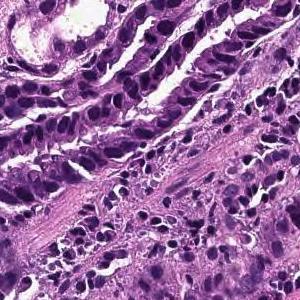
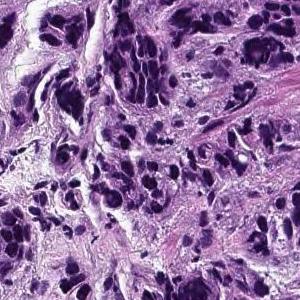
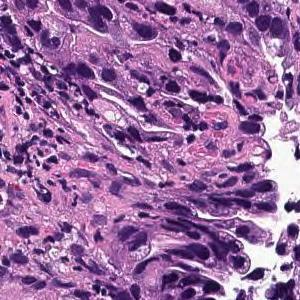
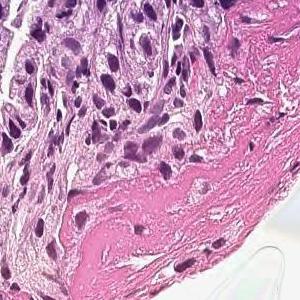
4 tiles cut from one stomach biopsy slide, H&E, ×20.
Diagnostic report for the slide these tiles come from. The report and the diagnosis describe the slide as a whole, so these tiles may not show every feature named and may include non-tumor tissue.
Tumor cells are large, highly columnar, large club-shaped nuclei, and are associated with chromatin aggregation. Papillary adenocarcinoma.
